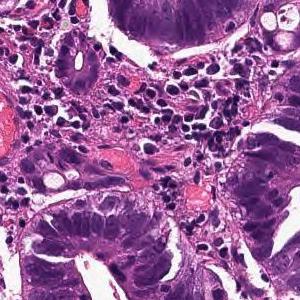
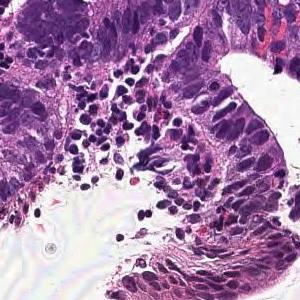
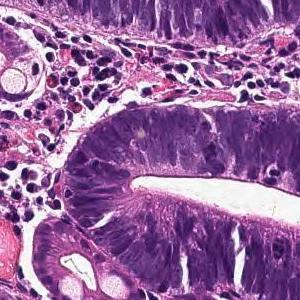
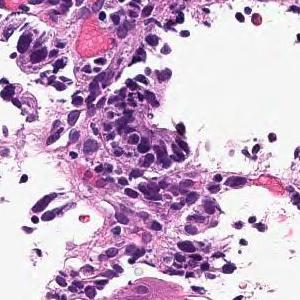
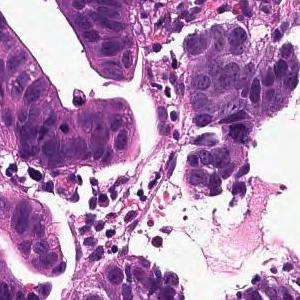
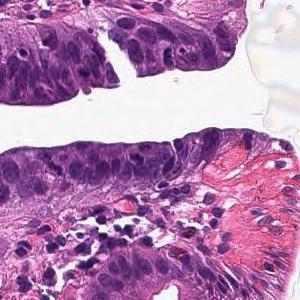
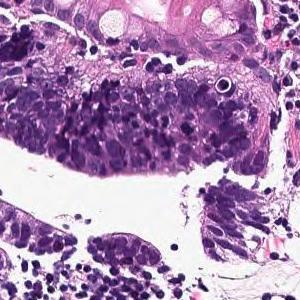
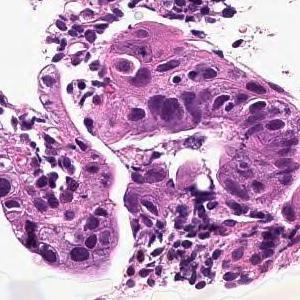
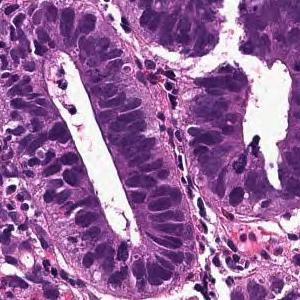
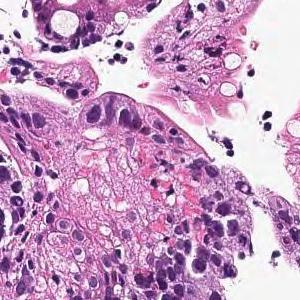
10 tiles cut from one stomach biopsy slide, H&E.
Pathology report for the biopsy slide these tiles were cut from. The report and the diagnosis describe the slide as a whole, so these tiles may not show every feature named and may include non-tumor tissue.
Tumor cells are large, highly columnar, large club-shaped nuclei, and are associated with chromatin aggregation. Papillary adenocarcinoma.
